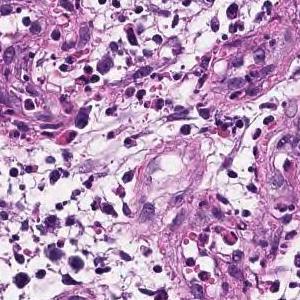
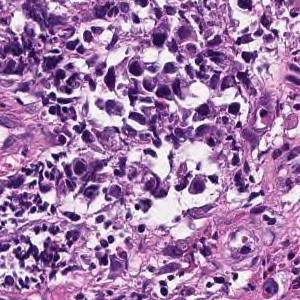
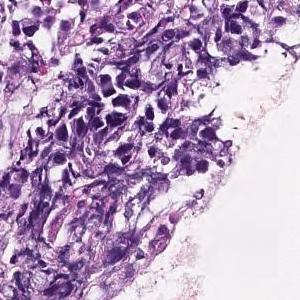
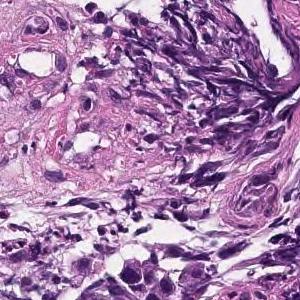
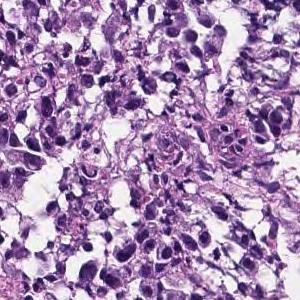
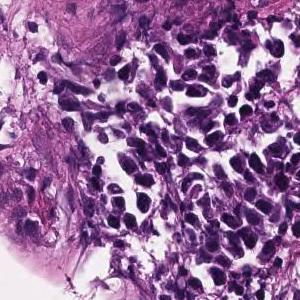
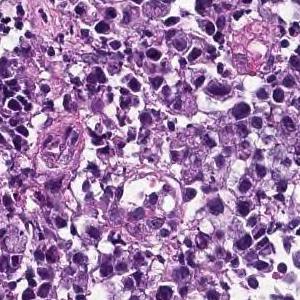
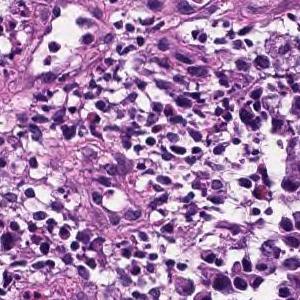
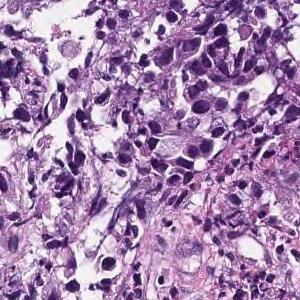
Scanned at ×20; H&E; 9 tiles cut from one stomach biopsy slide; 300 × 300 pixels each.
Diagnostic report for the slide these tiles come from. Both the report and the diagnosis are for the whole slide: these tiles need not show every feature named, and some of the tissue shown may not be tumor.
The superficial epithelium shows a small alveolar shape, and some tumor tissues infiltrate with a cord-like structure. Poorly differentiated adenocarcinoma, solid-type
Subtype: Poorly differentiated adenocarcinoma, solid type (Japanese Classification of Gastric Carcinoma). The WHO 2019 equivalent is tubular adenocarcinoma, poorly differentiated.
